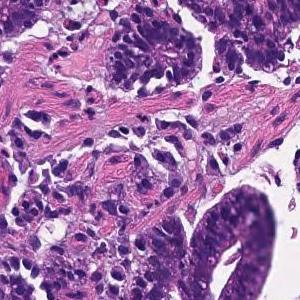
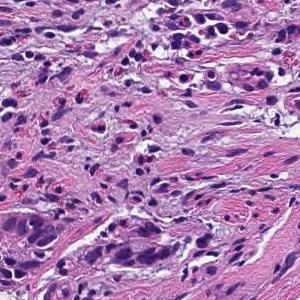
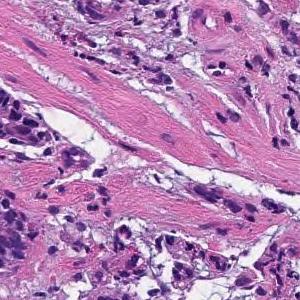
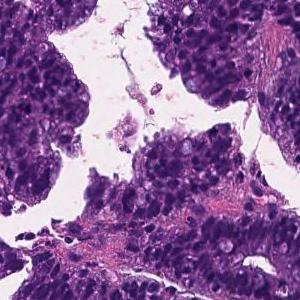
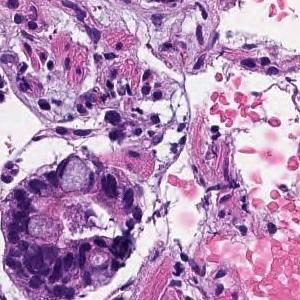
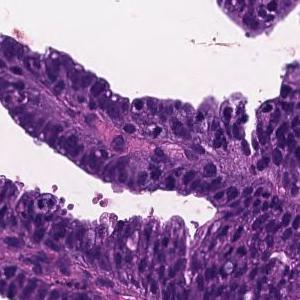
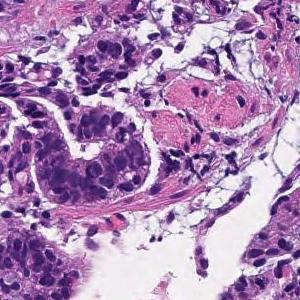
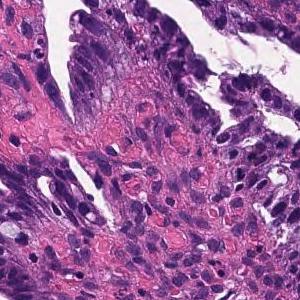
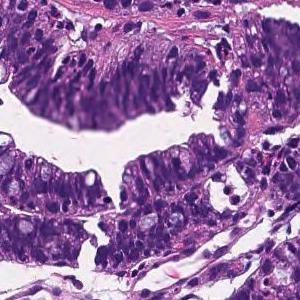
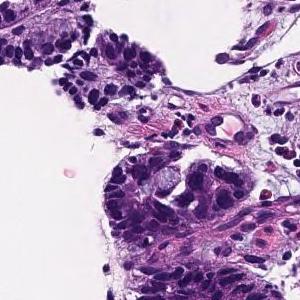
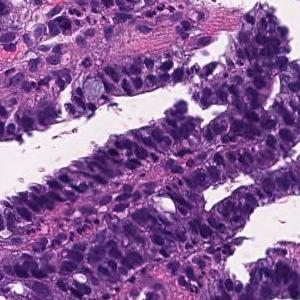
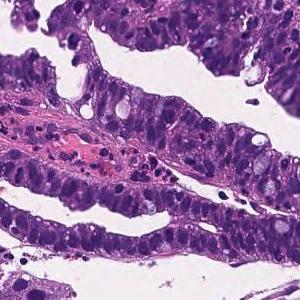
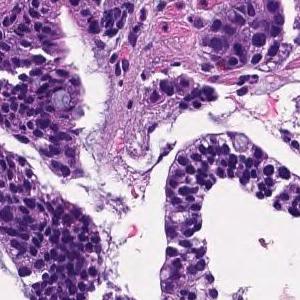
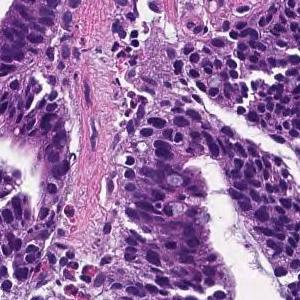
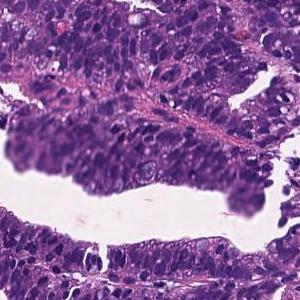
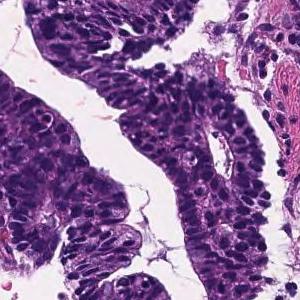
16 tiles from the same stomach biopsy slide; H&E.
Pathology report for the slide these tiles were cut from. The report and the diagnosis cover the entire slide, so not every feature they name need be visible here, and some tissue shown may not be tumor.
Tumor cells are large, highly columnar, large club-shaped nuclei, and are associated with chromatin aggregation. Papillary adenocarcinoma.
